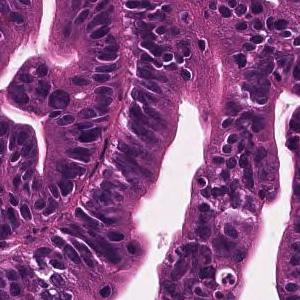
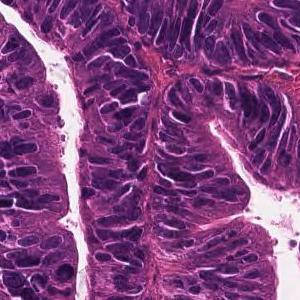
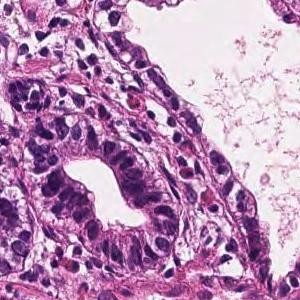
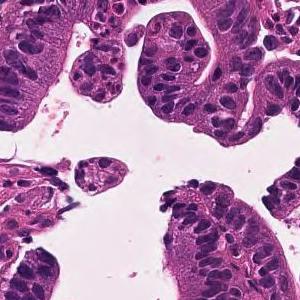
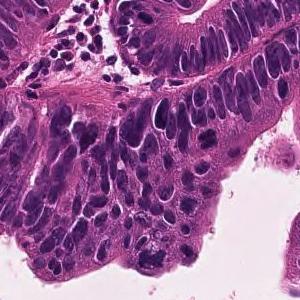
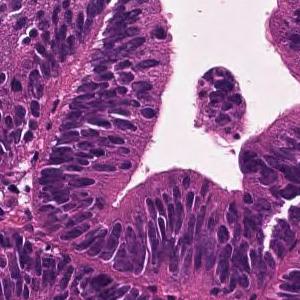
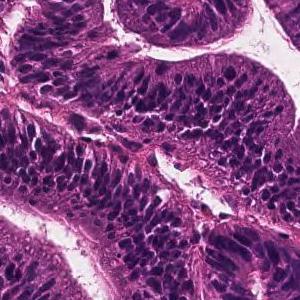
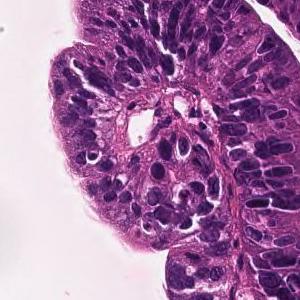
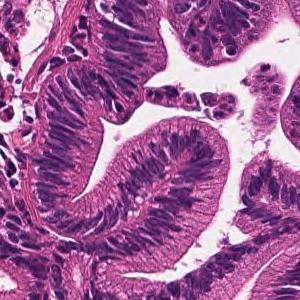
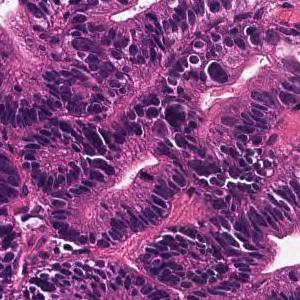
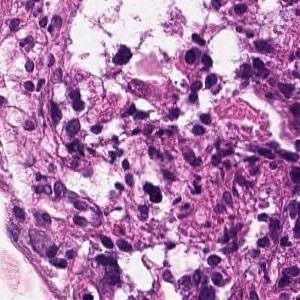
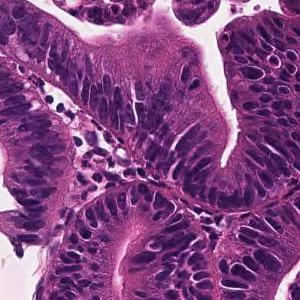
20× magnification · H&E stain · 12 tiles from the same stomach biopsy slide · 300 × 300 pixels each.
The pathologist's report on the biopsy slide these tiles were taken from. The findings and the diagnosis refer to the entire slide; these tiles show only part of it, possibly with non-tumor tissue, and may not show every feature named.
A large irregular tubular structure is exhibited in the epithelium, and tumor tissue that partially fuses and infiltrates and proliferates is observed. Large columnar tumor cells exhibit enlarged nucleus, hyperchromatism, and mitotic figures. Well differentiated tubular adenocarcinoma
